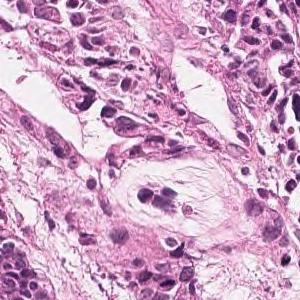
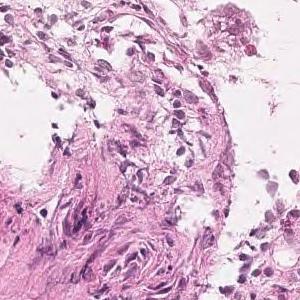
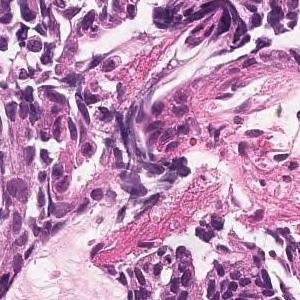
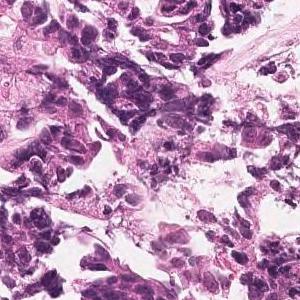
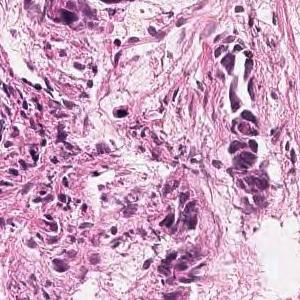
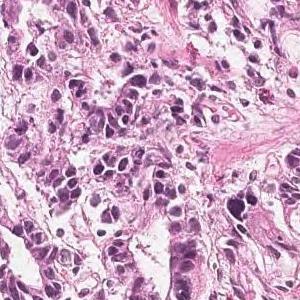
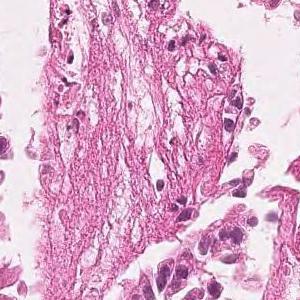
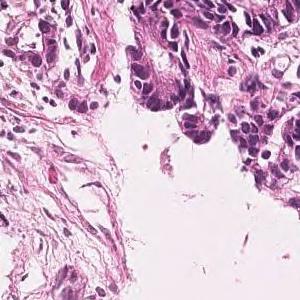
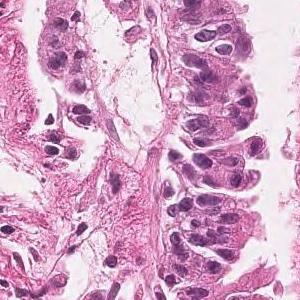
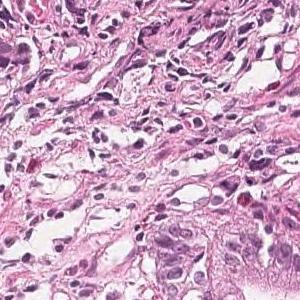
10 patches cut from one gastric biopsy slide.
Diagnostic report for the slide these tiles come from. The report and the diagnosis describe the slide as a whole, so these tiles may not show every feature named and may include non-tumor tissue.
On the superficial epithelium, tumor tissue consisting of large, irregular glandular ducts partially fused and infiltrated is observed. Well to moderately differentiated tubular adenocarcinoma (well differentiated tubular adenocarcinoma, moderately differentiated tubular adenocarcinoma)
Subtype: Well to moderately differentiated tubular adenocarcinoma.
